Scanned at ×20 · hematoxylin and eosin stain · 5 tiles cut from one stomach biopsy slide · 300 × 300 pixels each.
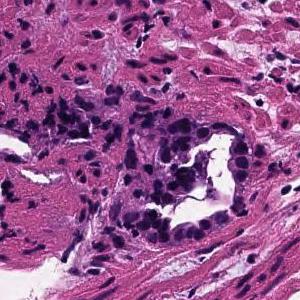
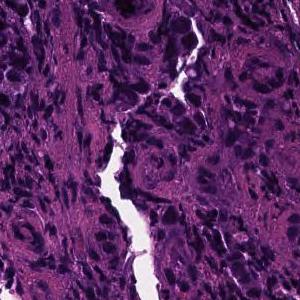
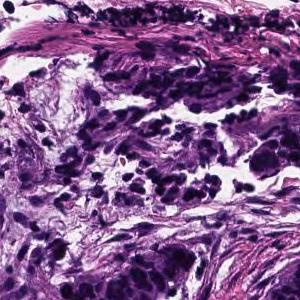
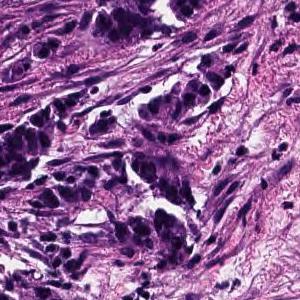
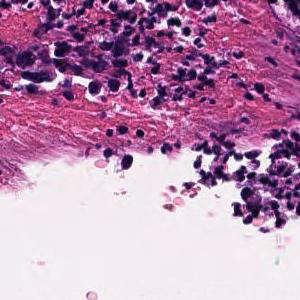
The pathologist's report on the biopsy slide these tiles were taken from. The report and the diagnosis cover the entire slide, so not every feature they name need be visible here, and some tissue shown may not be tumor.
In the superficial epithelium, tumor tissue that invades by forming medium-sized to small, irregular ducts is observed. moderately differentiated tubular adenocarcinoma.
